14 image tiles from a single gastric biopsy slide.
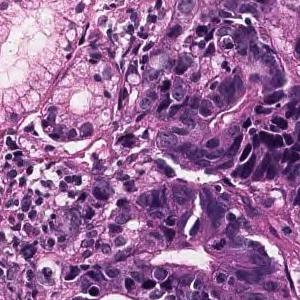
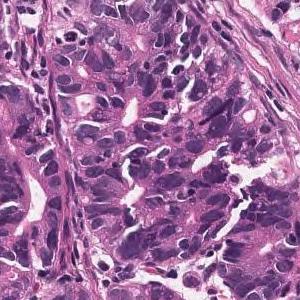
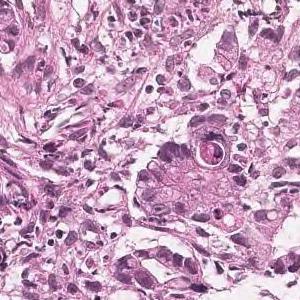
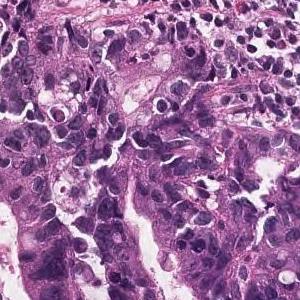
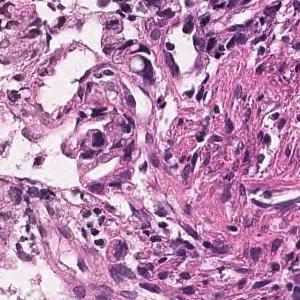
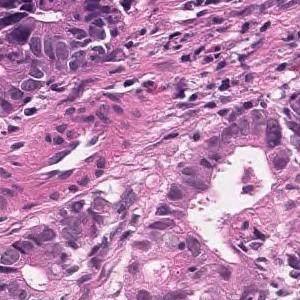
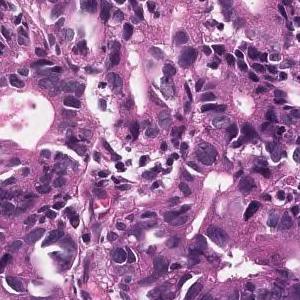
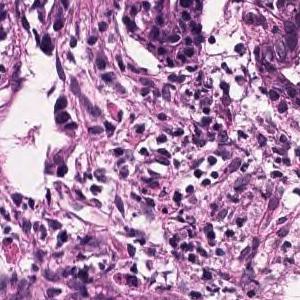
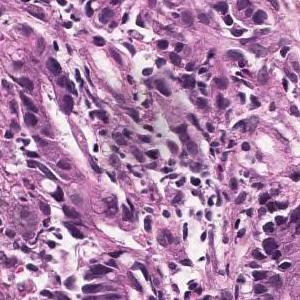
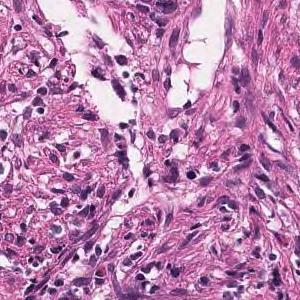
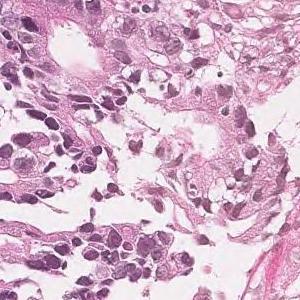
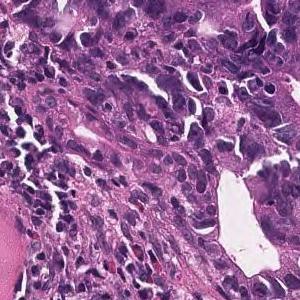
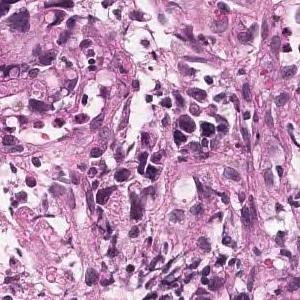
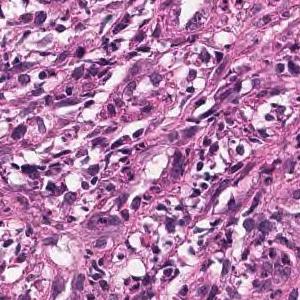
Pathology report for the slide these tiles were cut from. The findings and the diagnosis refer to the entire slide; these tiles show only part of it, possibly with non-tumor tissue, and may not show every feature named.
In the superficial epithelium, tumor tissue is found in which medium-sized irregular gland ducts fuse with each other and infiltrate. moderately differentiated tubular adenocarcinoma
